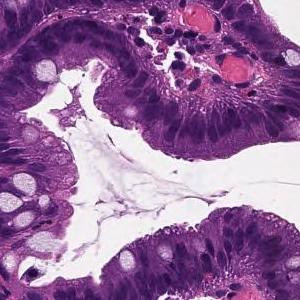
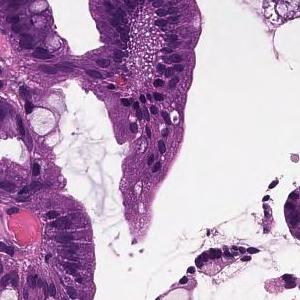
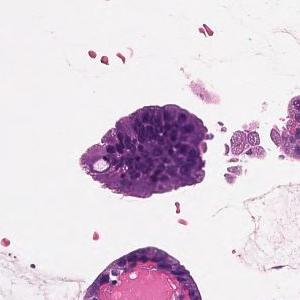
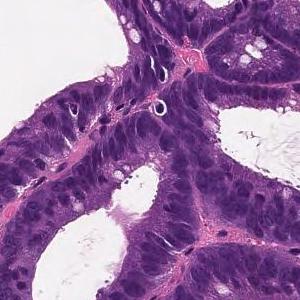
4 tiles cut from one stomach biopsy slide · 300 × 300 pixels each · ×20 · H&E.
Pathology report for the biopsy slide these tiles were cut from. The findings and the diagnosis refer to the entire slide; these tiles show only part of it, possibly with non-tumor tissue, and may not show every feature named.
moderately differentiated tubular adenocarcinoma infiltrates in the submucosa massively.
Histological subtype: Moderately differentiated tubular adenocarcinoma.
